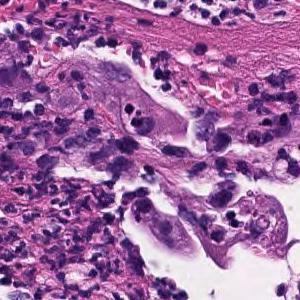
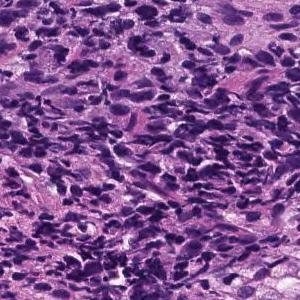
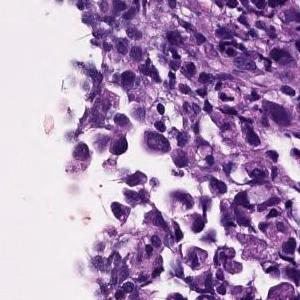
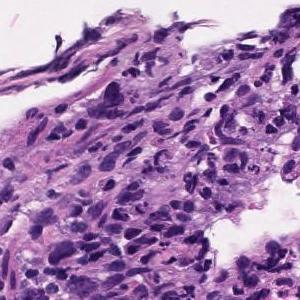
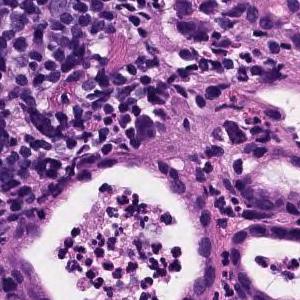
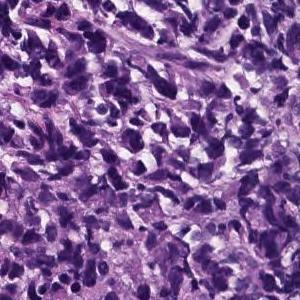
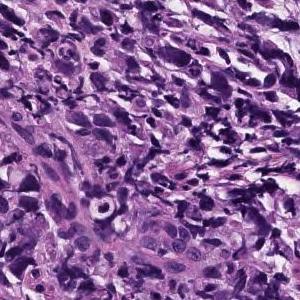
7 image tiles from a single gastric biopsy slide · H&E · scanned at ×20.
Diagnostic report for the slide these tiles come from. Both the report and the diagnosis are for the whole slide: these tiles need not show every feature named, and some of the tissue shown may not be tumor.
Poorly differentiated, solid adenocarcinoma (poorly differentiated adenocarcinoma, solid type) with tumor tissue diffusely infiltrated with atypical epithelial cells
Subtype: Poorly differentiated adenocarcinoma, solid type (Japanese Classification of Gastric Carcinoma). The WHO 2019 equivalent is tubular adenocarcinoma, poorly differentiated.
